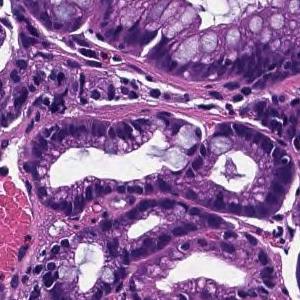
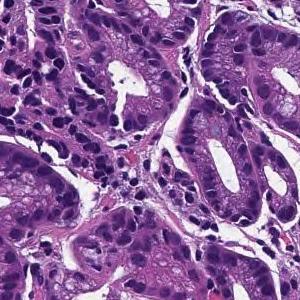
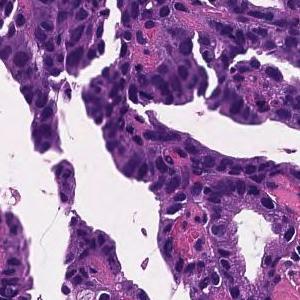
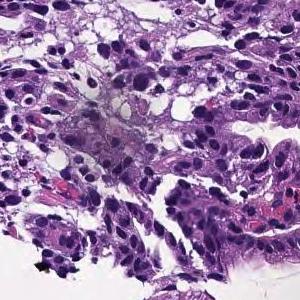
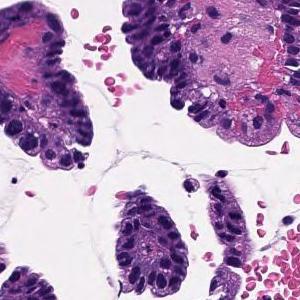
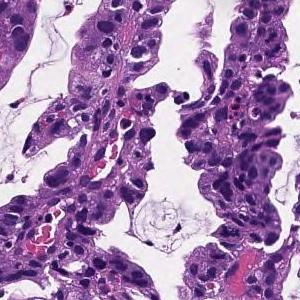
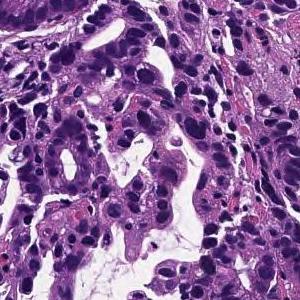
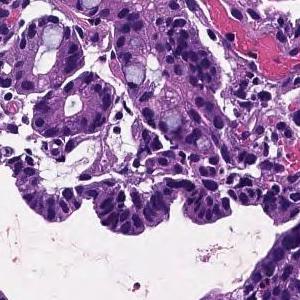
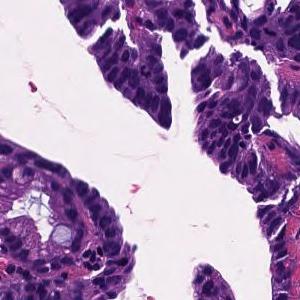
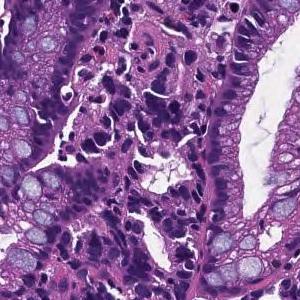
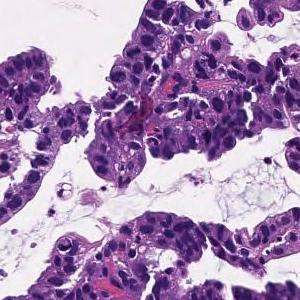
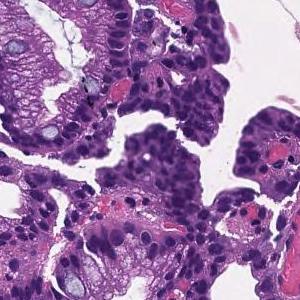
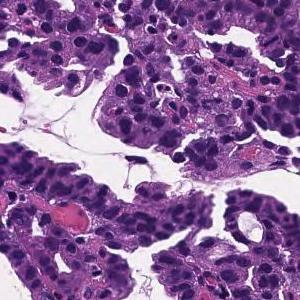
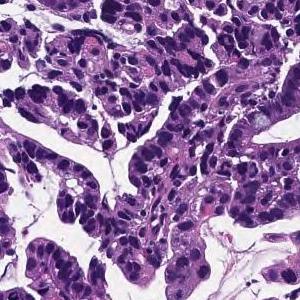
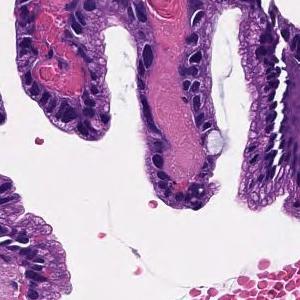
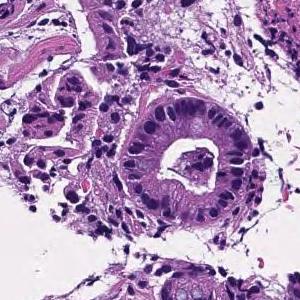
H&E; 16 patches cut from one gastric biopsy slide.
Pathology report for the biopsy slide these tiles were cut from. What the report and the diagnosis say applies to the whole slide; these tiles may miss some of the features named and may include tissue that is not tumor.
Tumor cells are large, highly columnar, large club-shaped nuclei, and are associated with chromatin aggregation. Papillary adenocarcinoma.
